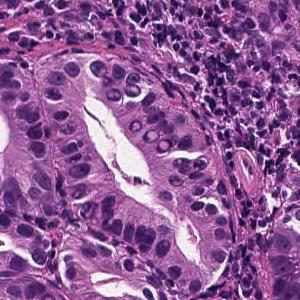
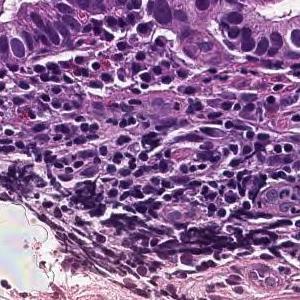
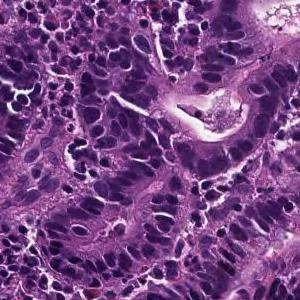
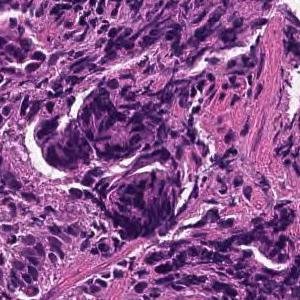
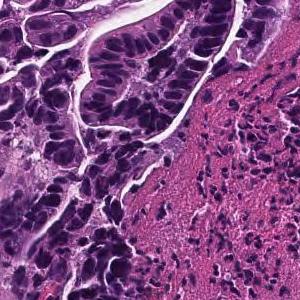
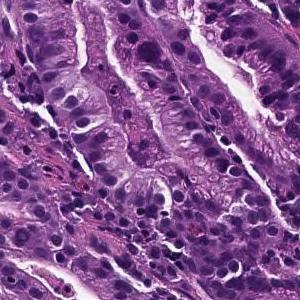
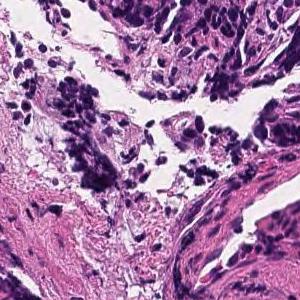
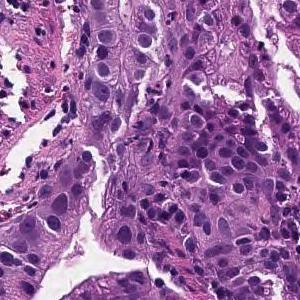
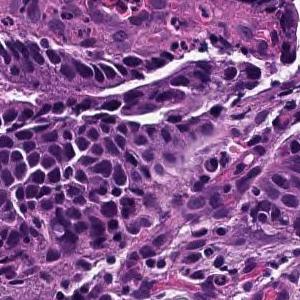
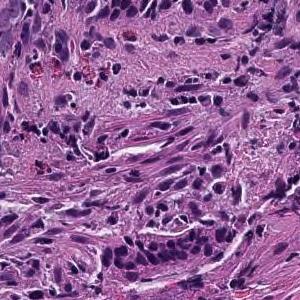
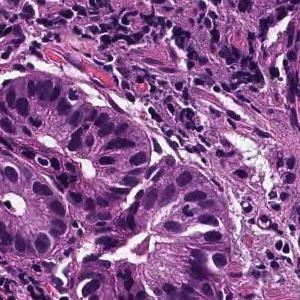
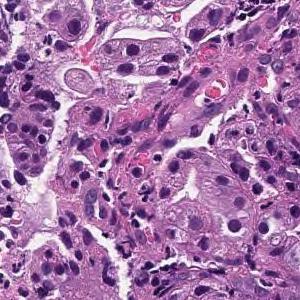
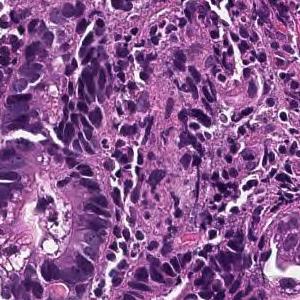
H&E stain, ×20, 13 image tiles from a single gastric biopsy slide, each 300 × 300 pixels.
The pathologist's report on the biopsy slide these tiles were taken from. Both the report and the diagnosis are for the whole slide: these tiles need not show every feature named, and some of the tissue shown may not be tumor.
On the superficial epithelium, tumor tissue consisting of large irregular glandular ducts partially fused and infiltrated is observed. Well to moderately differentiated tubular adenocarcinoma (well differentiated tubular adenocarcinoma, moderately differentiated tubular adenocarcinoma)
Classified as well to moderately differentiated tubular adenocarcinoma.
